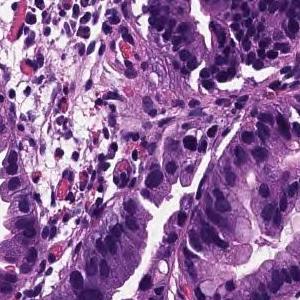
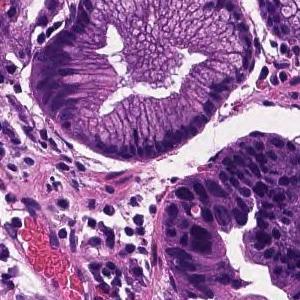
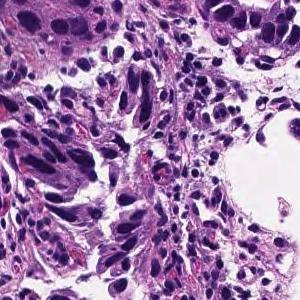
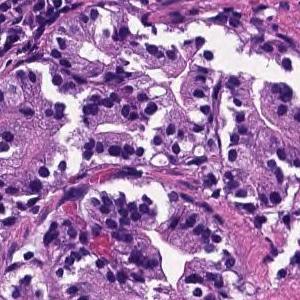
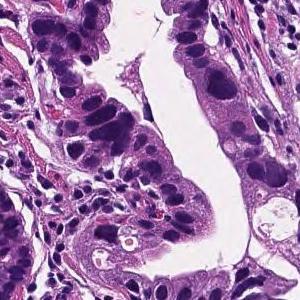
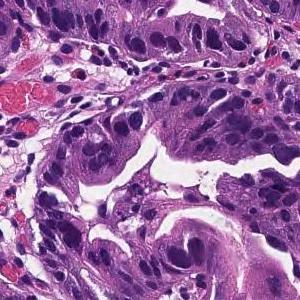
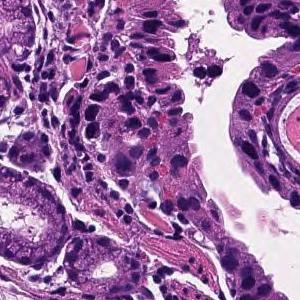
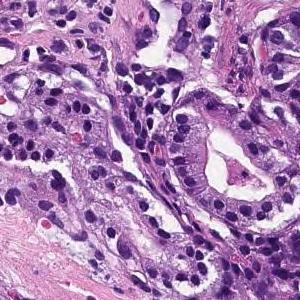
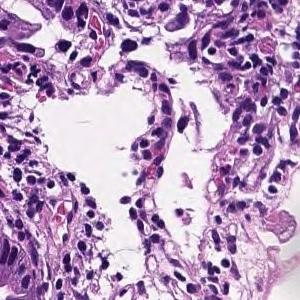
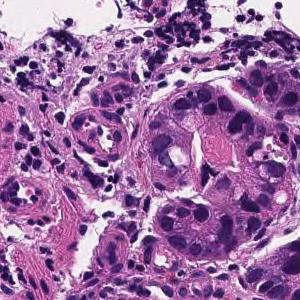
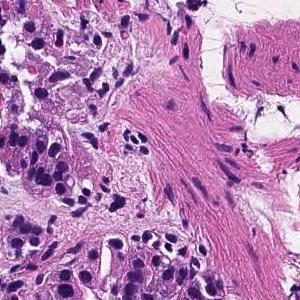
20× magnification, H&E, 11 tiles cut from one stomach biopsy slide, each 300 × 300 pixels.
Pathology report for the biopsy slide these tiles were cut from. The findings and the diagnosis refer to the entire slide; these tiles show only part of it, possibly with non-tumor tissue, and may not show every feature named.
From the superficial epithelium to the muscularis mucosae, tumor tissue consisting of medium-sized and irregular glandular ducts infiltrating is observed. Well differentiated tubular adenocarcinoma
